Scanned at ×20, 10 image tiles from a single gastric biopsy slide, each 300 × 300 pixels.
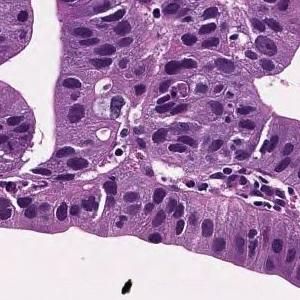
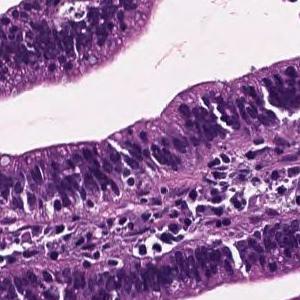
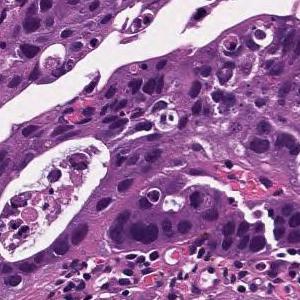
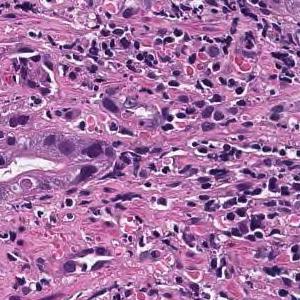
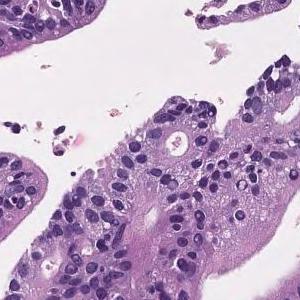
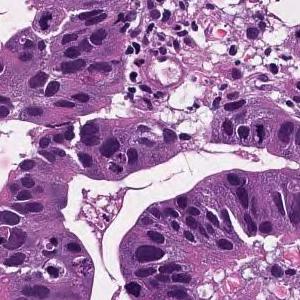
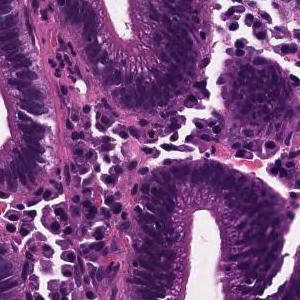
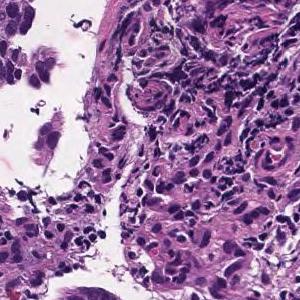
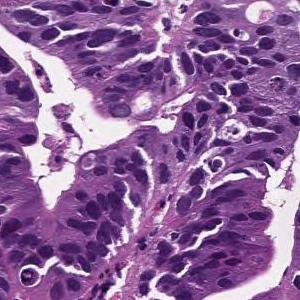
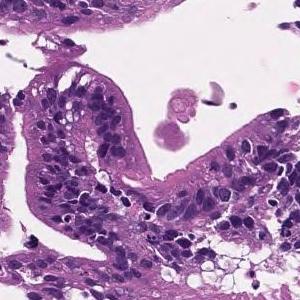
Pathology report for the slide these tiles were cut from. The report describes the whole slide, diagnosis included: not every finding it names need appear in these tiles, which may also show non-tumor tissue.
Tumor cells are large, highly columnar, large club-shaped nuclei, and are associated with chromatin aggregation. Papillary adenocarcinoma.
